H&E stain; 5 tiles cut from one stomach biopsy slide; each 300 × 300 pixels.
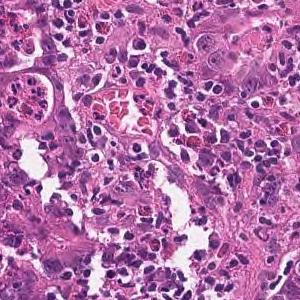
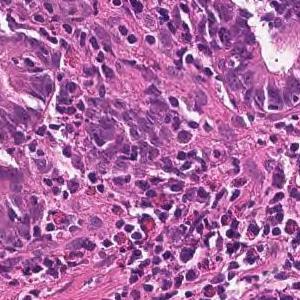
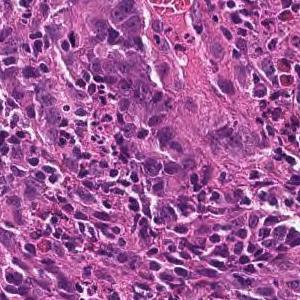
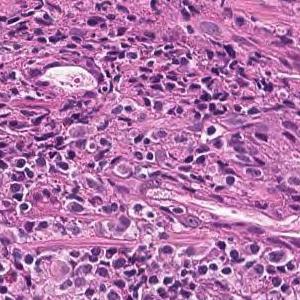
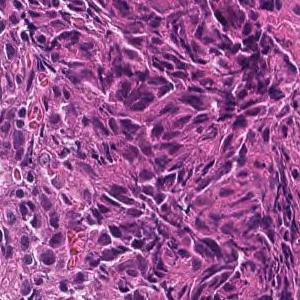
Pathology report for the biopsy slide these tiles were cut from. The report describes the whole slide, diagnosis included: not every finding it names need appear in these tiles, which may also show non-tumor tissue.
Tumor tissue consisting of medium-sized, cord-like or irregular glandular infiltration is observed in the superficial epithelium. Poorly differentiated adenocarcinoma, non-solid type or moderately differentiated tubular adenocarcinoma
Dataset label: poorly differentiated adenocarcinoma, non-solid type.
"Non-solid type" is a category of the Japanese Classification of Gastric Carcinoma.
